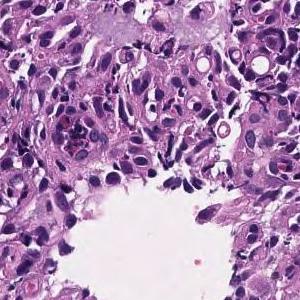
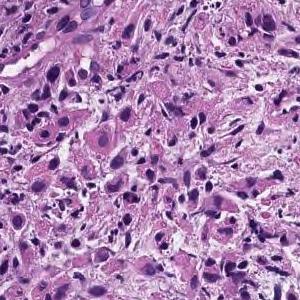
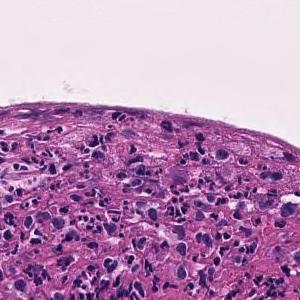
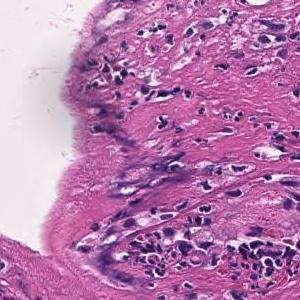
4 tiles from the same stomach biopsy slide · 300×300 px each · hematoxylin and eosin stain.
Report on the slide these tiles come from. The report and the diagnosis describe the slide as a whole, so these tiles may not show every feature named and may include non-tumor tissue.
The superficial epithelium shows a large sheet-like shape, and some tumor tissue infiltrates with small irregular ducts. Poorly differentiated adenocarcinoma, solid-type
Classified as poorly differentiated adenocarcinoma, solid type (Japanese Classification of Gastric Carcinoma). The WHO 2019 equivalent is tubular adenocarcinoma, poorly differentiated.
